5 tiles from the same stomach biopsy slide, 300 × 300 pixels each.
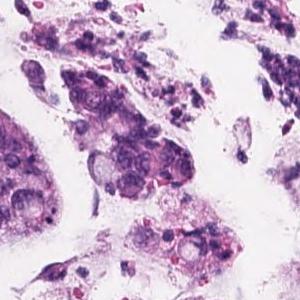
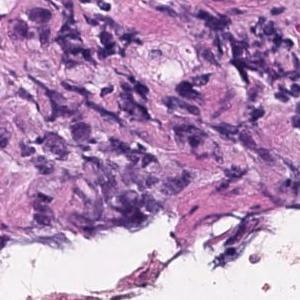
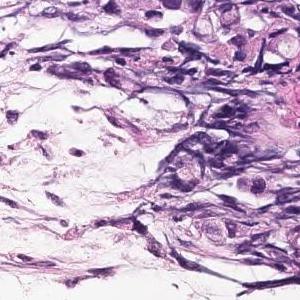
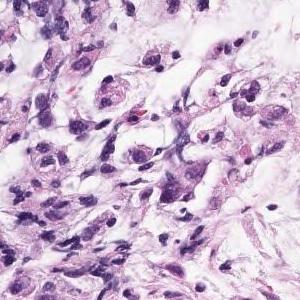
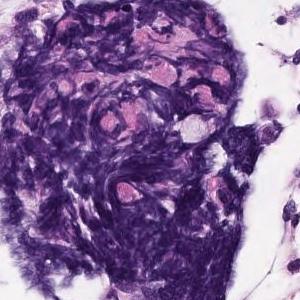
Pathology report for the slide these tiles were cut from. The report and the diagnosis cover the entire slide, so not every feature they name need be visible here, and some tissue shown may not be tumor.
Poorly connected atypical epithelium with mucous vacuoles in the cytoplasm proliferating while floating with mucus accumulation outside the cell is observed. Mucinous adenocarcinoma
